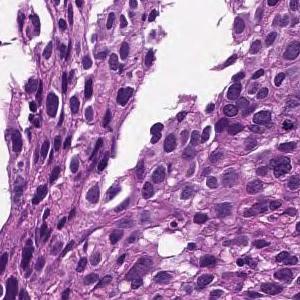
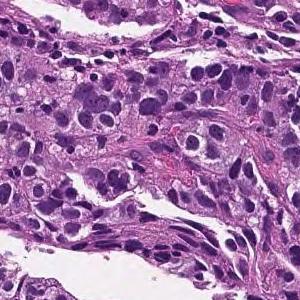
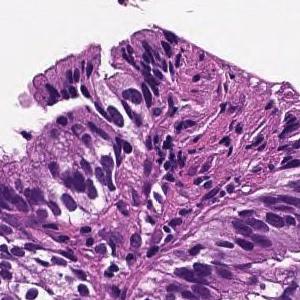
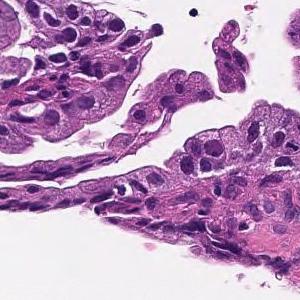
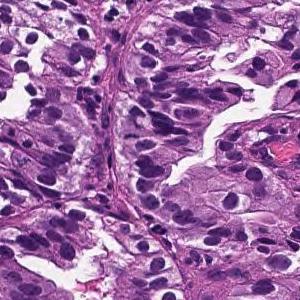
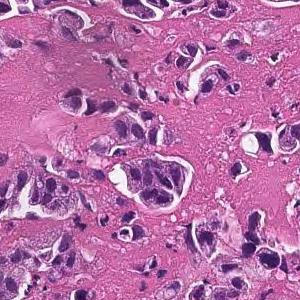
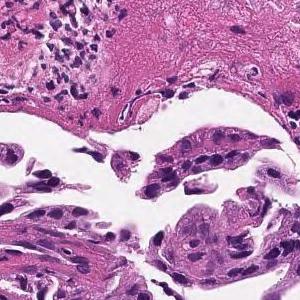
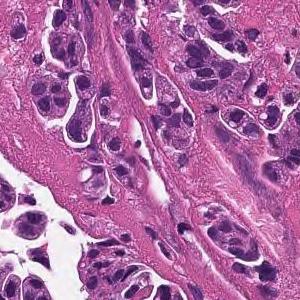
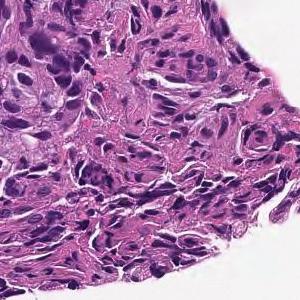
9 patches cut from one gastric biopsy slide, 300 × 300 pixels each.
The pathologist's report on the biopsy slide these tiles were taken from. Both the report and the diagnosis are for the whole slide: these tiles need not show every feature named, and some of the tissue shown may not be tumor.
Medium to small, irregular glandular ducts are formed in the superficial epithelium, and in some cases, the glandular ducts are fused to show solid alveolar lesions and infiltrating tumor tissue is observed. Moderately to poorly differentiated adenocarcinoma.
